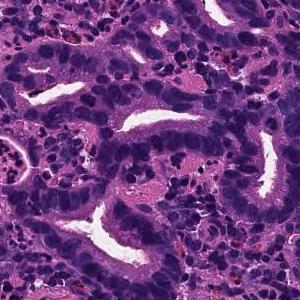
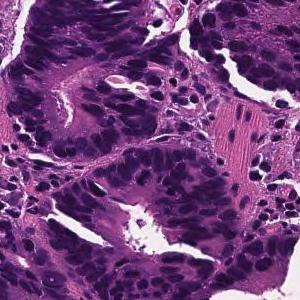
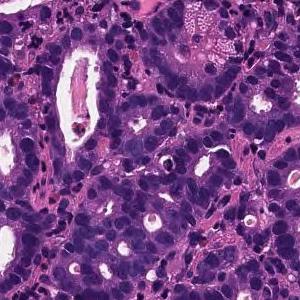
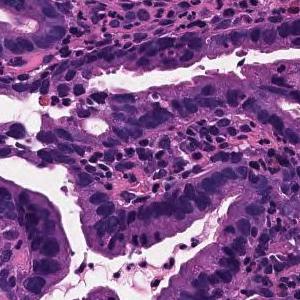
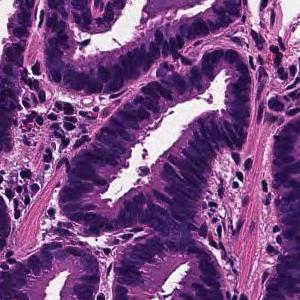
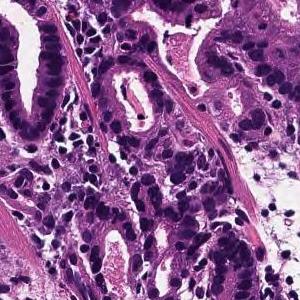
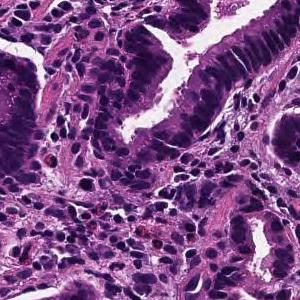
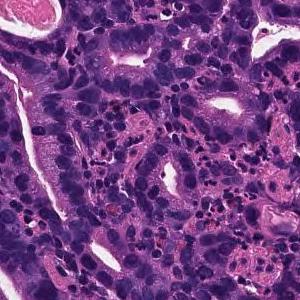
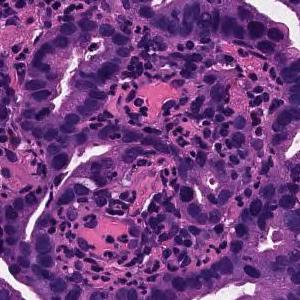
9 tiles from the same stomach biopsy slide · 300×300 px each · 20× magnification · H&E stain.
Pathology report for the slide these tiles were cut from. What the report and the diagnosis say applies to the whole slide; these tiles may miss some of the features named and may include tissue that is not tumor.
On the superficial epithelium, tumor tissue is found in which medium-sized irregular gland ducts fuse with each other and infiltrate. moderately differentiated tubular adenocarcinoma
